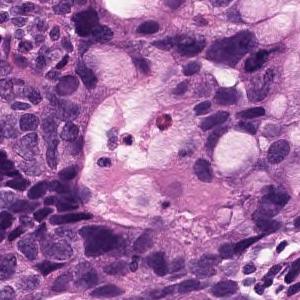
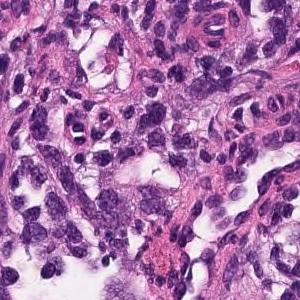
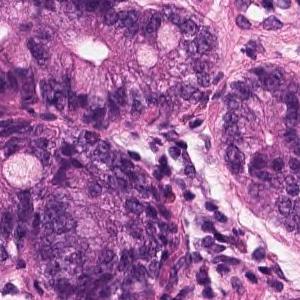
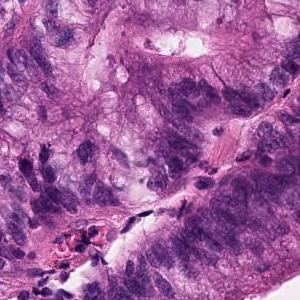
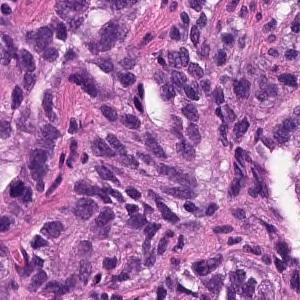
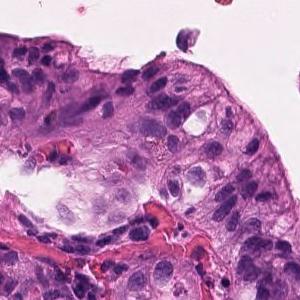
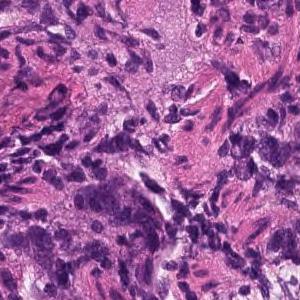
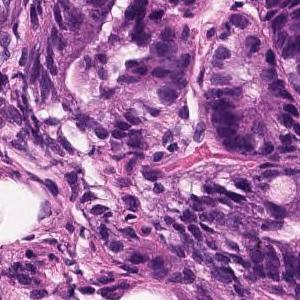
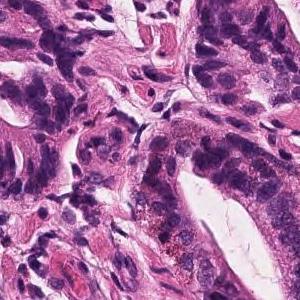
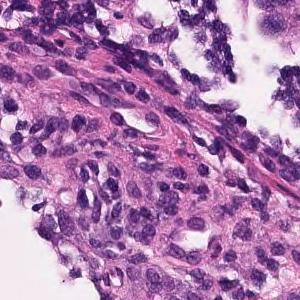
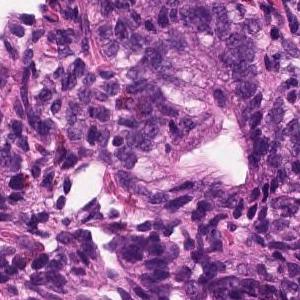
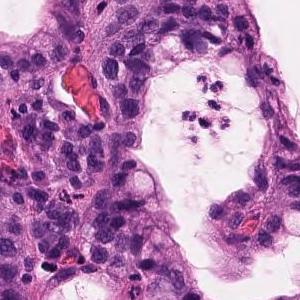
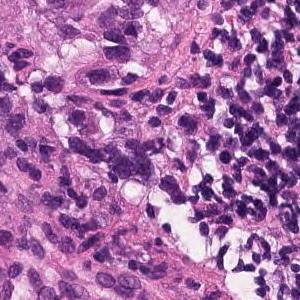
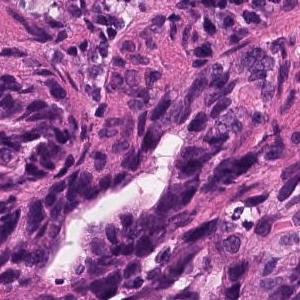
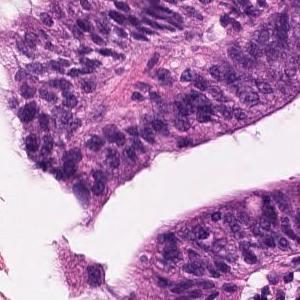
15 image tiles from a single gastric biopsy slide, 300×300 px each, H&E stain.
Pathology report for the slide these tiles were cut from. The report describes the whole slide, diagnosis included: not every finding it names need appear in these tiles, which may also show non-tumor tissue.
In the superficial epithelium, tumor tissue that invades by forming medium-sized to small, irregular ducts is observed. Moderately differentiated adenocarcinoma.
Classified as moderately differentiated tubular adenocarcinoma.
